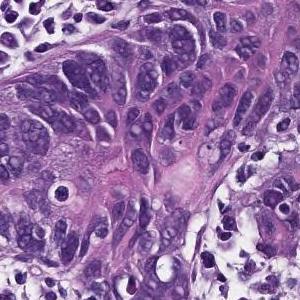
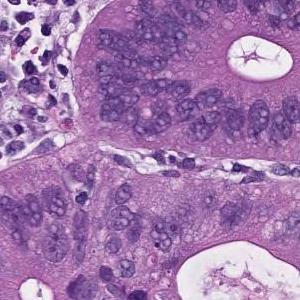
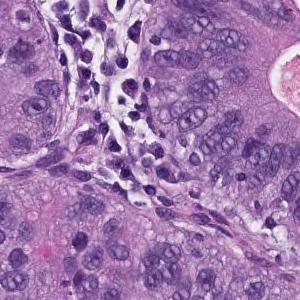
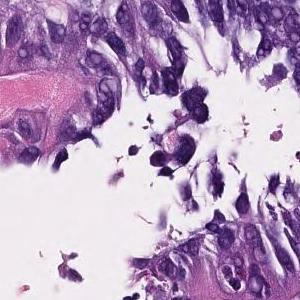
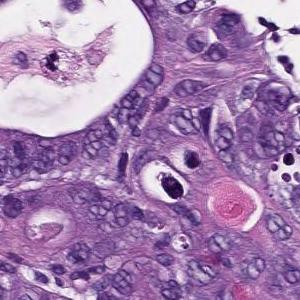
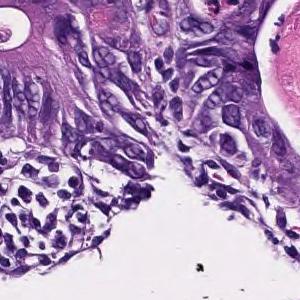
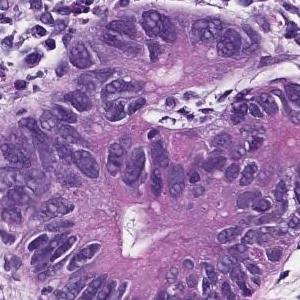
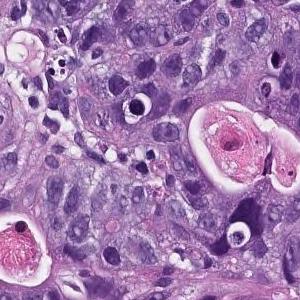
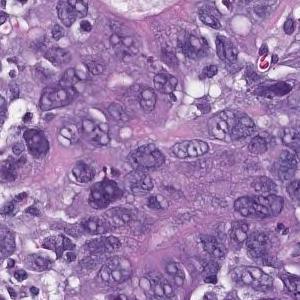
9 image tiles from a single gastric biopsy slide, scanned at ×20, hematoxylin and eosin stain.
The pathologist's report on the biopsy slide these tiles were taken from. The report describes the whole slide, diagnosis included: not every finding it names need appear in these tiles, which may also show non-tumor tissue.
In the superficial epithelium, tumor tissue that invades by forming medium-sized to small, irregular ducts is observed. moderately differentiated tubular adenocarcinoma.
